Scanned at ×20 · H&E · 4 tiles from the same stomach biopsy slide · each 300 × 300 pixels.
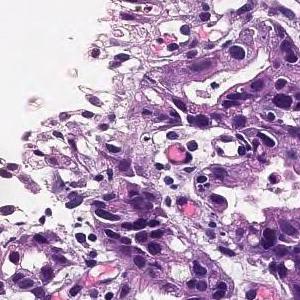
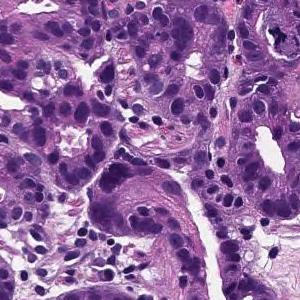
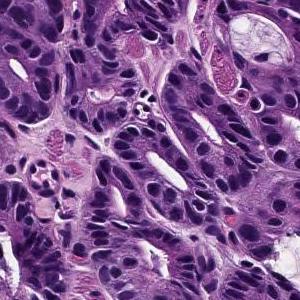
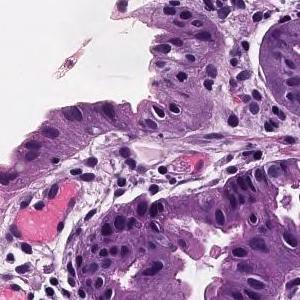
Pathology report for the slide these tiles were cut from. The findings and the diagnosis refer to the entire slide; these tiles show only part of it, possibly with non-tumor tissue, and may not show every feature named.
From the superficial epithelium to the muscularis mucosae, tumor tissue consisting of medium-sized and irregular glandular ducts infiltrating is observed. Well differentiated tubular adenocarcinoma
